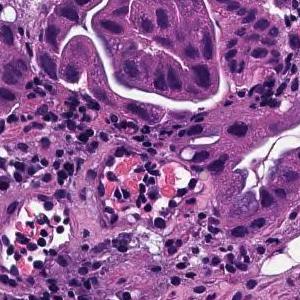
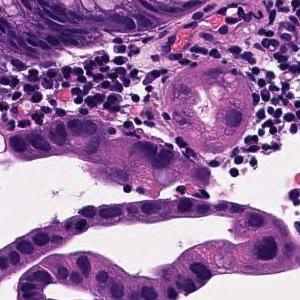
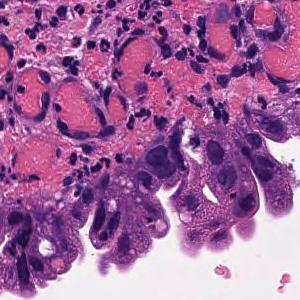
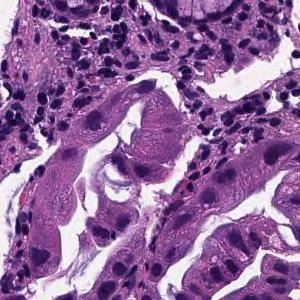
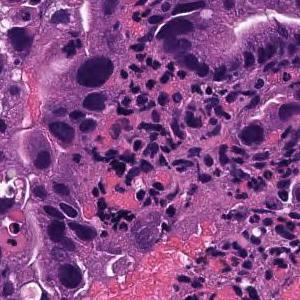
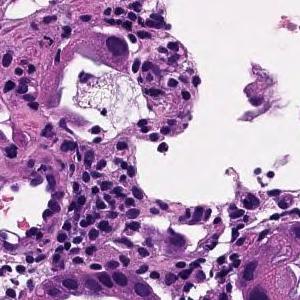
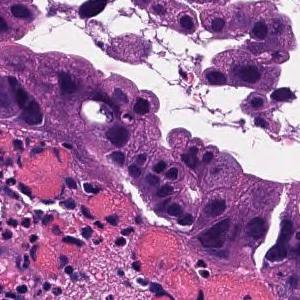
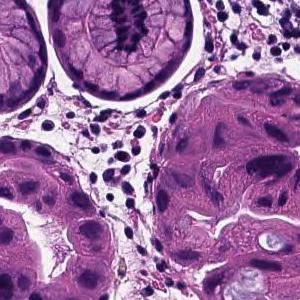
8 tiles from the same stomach biopsy slide; 300×300 px each; ×20; H&E stain.
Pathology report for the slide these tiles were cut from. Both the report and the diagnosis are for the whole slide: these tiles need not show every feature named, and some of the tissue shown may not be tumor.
Tumor tissue consisting of large papillary structures is found in the superficial epithelium. Papillary adenocarcinoma.
